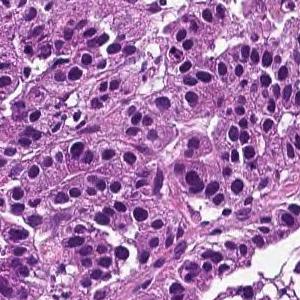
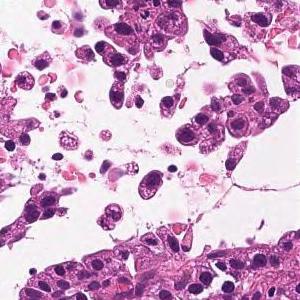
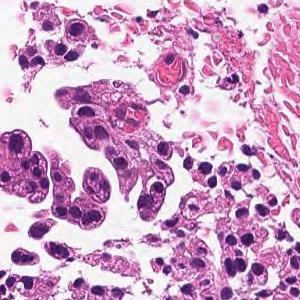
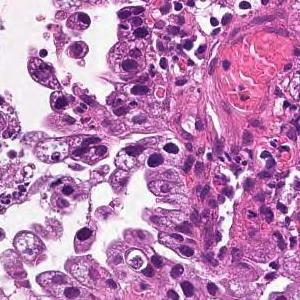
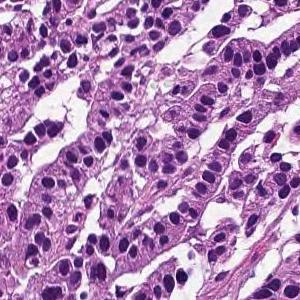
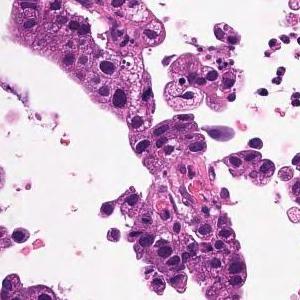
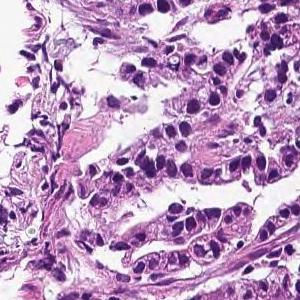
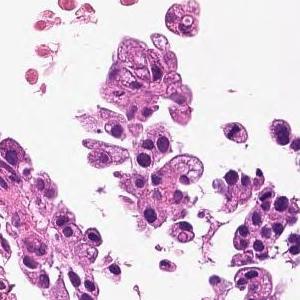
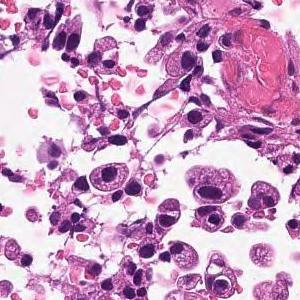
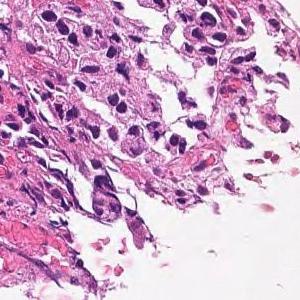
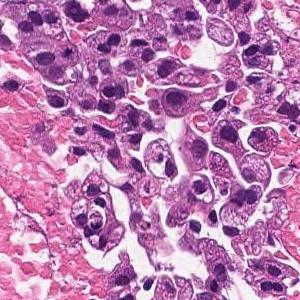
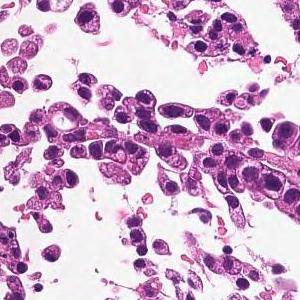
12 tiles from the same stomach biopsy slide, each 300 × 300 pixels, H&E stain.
The pathologist's report on the biopsy slide these tiles were taken from. The report and the diagnosis describe the slide as a whole, so these tiles may not show every feature named and may include non-tumor tissue.
In the superficial epithelium, tumor tissue that invades by forming medium-sized to small, irregular ducts is observed. moderately differentiated tubular adenocarcinoma.
